H&E, ×20, 5 tiles cut from one stomach biopsy slide, each 300 × 300 pixels.
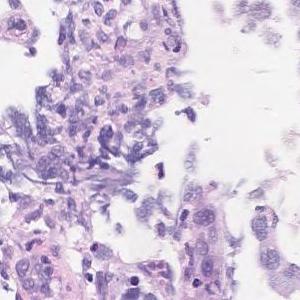
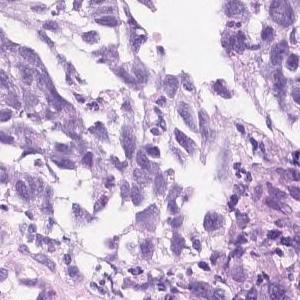
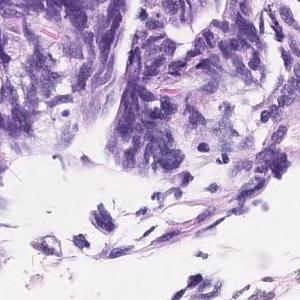
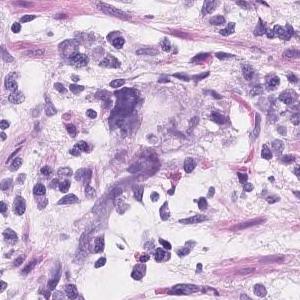
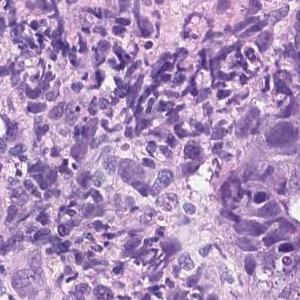
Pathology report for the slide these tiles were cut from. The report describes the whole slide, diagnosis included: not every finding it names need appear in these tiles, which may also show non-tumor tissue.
Atypical epithelial cells infiltrating and proliferating diffusely or while forming vesicles is observed. Poorly differentiated adenocarcinoma (poorly differentiated adenocarcinoma, solid type moderately differentiated tubular adenocarcinoma)
Dataset label: poorly differentiated adenocarcinoma, solid type (Japanese Classification of Gastric Carcinoma). The WHO 2019 equivalent is tubular adenocarcinoma, poorly differentiated.
